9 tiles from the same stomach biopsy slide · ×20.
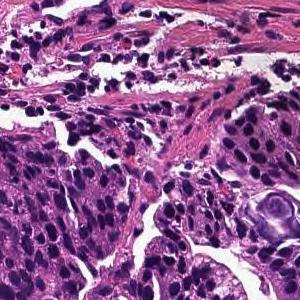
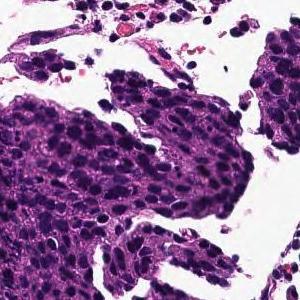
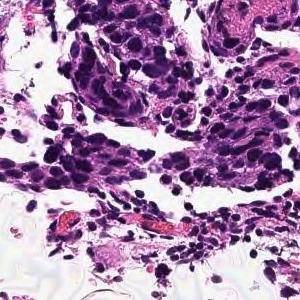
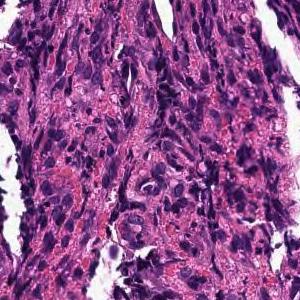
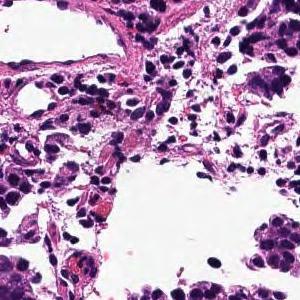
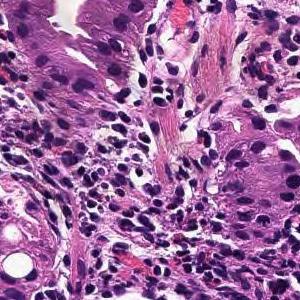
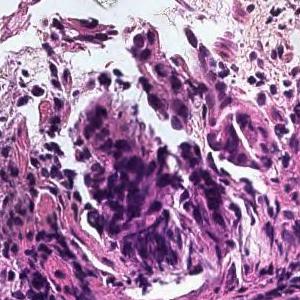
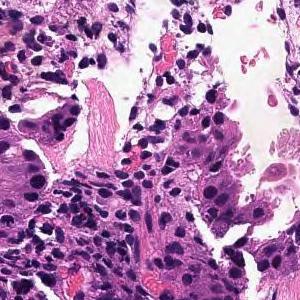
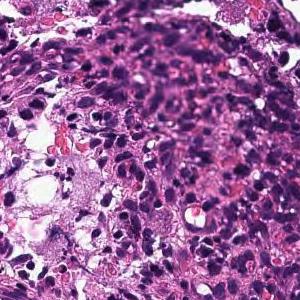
Pathology report for the biopsy slide these tiles were cut from. Both the report and the diagnosis are for the whole slide: these tiles need not show every feature named, and some of the tissue shown may not be tumor.
In the superficial epithelium, tumor tissue that invades by forming medium-sized to small, irregular ducts is observed. moderately differentiated tubular adenocarcinoma.
